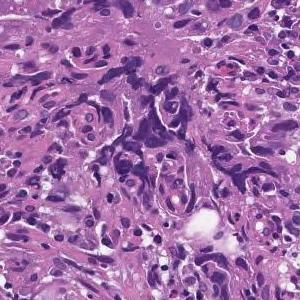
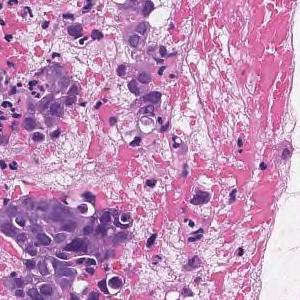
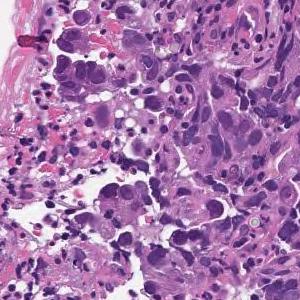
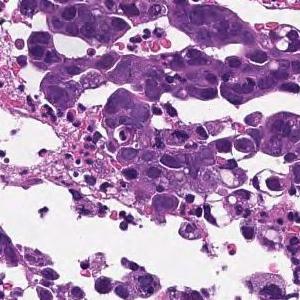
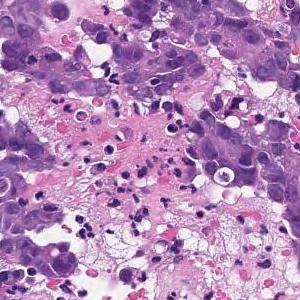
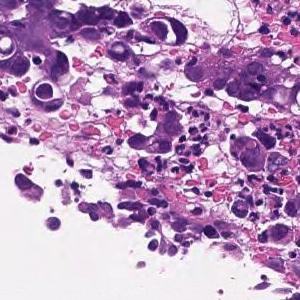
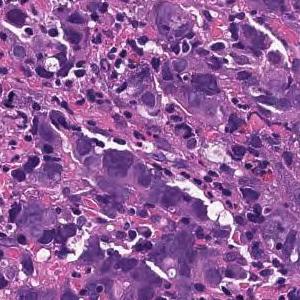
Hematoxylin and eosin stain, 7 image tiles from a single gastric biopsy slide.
Pathology report for the biopsy slide these tiles were cut from. The report and the diagnosis describe the slide as a whole, so these tiles may not show every feature named and may include non-tumor tissue.
Tumor tissue consisting of cord-like or small, irregular glandular ducts fused and infiltrated is observed in the superficial epithelium. Poorly differentiated adenocarcinoma, non-solid type
The term "non-solid type" comes from the Japanese Classification of Gastric Carcinoma.
